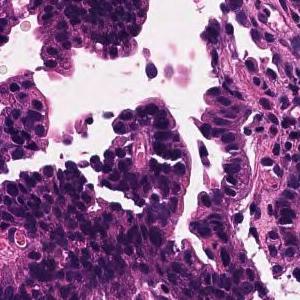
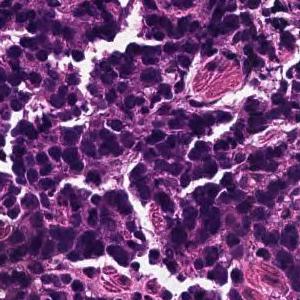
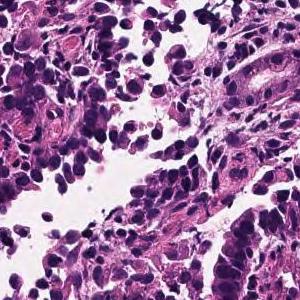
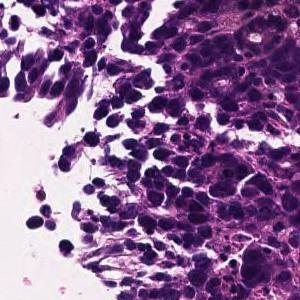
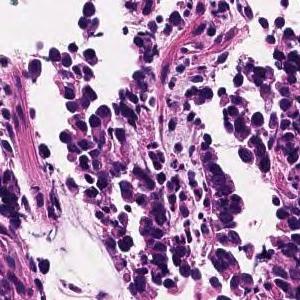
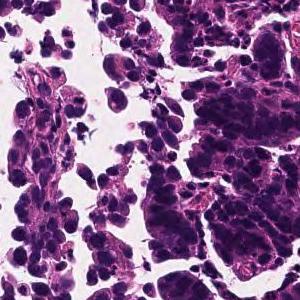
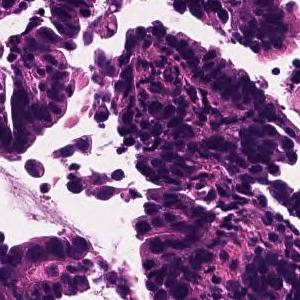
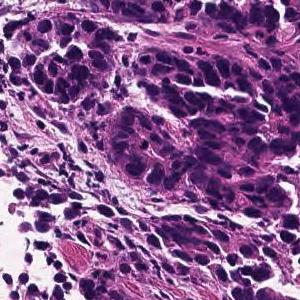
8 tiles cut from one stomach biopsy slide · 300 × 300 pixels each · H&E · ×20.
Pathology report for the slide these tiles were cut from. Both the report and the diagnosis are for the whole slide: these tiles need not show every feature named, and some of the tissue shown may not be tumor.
Medium to small, irregular glandular ducts are formed in the superficial epithelium, and in some cases, the glandular ducts are fused to show solid alveolar lesions and infiltrating tumor tissue is observed. Moderately to poorly differentiated adenocarcinoma.
